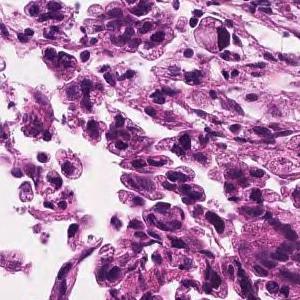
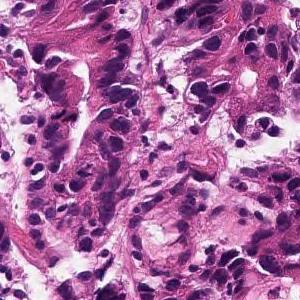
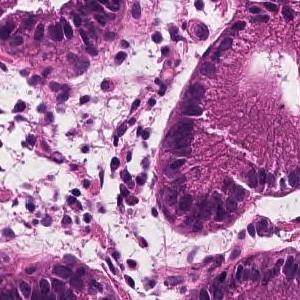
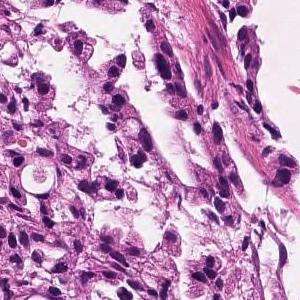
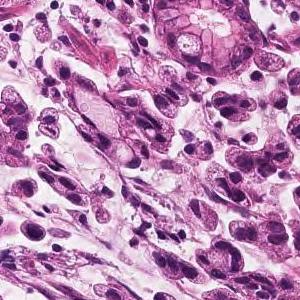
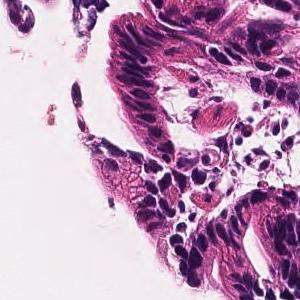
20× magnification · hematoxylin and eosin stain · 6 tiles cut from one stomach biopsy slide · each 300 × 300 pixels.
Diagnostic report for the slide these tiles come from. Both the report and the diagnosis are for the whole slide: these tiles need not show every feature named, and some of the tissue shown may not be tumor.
In the superficial epithelium, tumor tissue that invades by forming medium-sized to small, irregular ducts is observed. moderately differentiated tubular adenocarcinoma.
